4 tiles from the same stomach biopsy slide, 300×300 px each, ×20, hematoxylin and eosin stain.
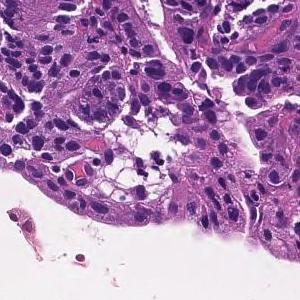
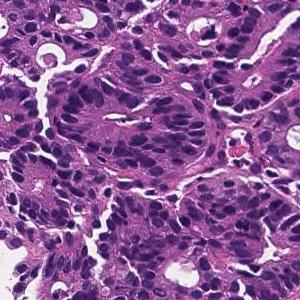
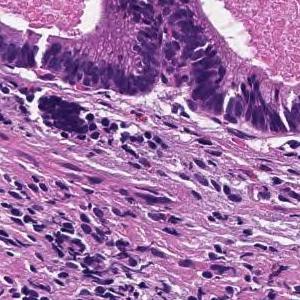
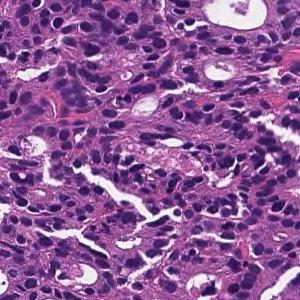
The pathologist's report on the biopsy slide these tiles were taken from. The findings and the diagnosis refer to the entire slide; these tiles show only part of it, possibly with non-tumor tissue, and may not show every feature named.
From the superficial epithelium to the muscularis mucosae, tumor tissue consisting of medium-sized and irregular glandular ducts infiltrating is observed. Well differentiated tubular adenocarcinoma
